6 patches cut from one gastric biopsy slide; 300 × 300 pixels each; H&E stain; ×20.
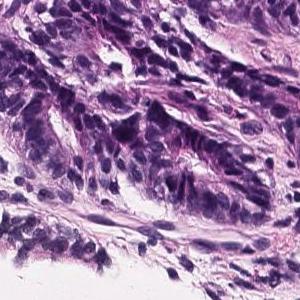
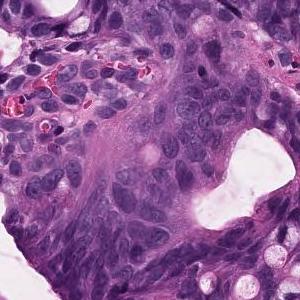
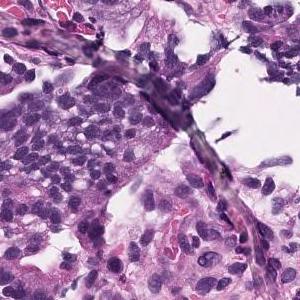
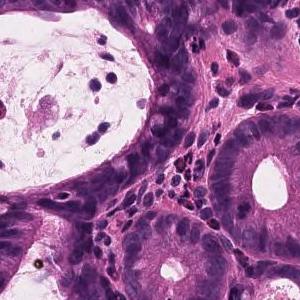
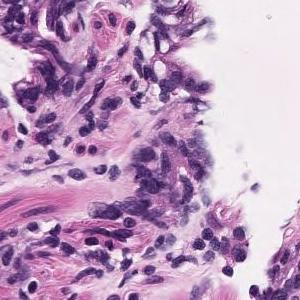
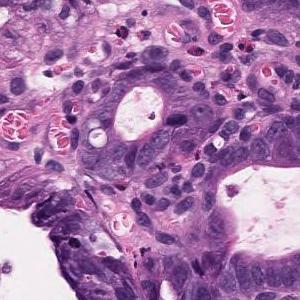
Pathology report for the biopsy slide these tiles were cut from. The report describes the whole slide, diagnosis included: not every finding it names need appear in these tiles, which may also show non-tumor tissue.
Atypical ducts proliferating while irregularly fusing in the lateral direction is observed. Well differentiated tubular adenocarcinoma
